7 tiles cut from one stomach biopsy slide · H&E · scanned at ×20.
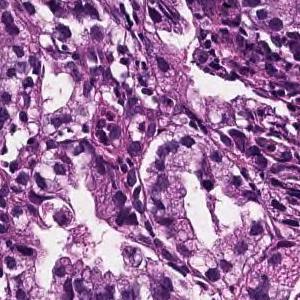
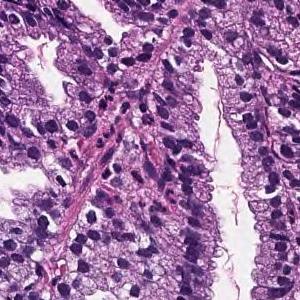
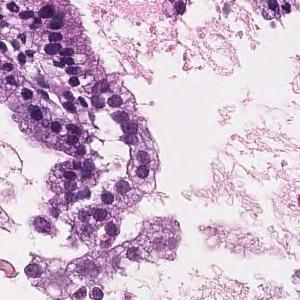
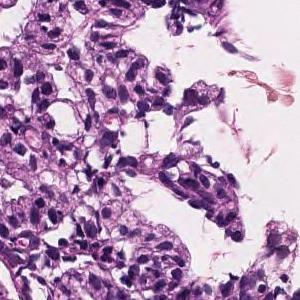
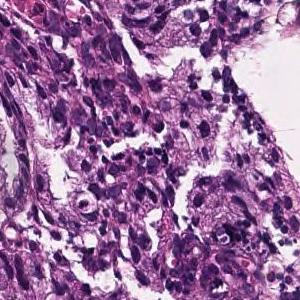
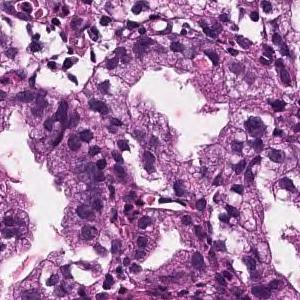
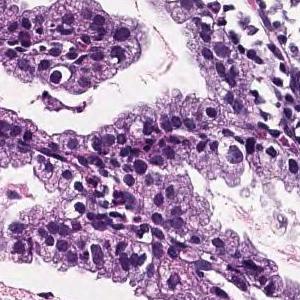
Report on the slide these tiles come from. What the report and the diagnosis say applies to the whole slide; these tiles may miss some of the features named and may include tissue that is not tumor.
In the superficial epithelium, tumor tissue that infiltrates by forming medium-sized papillary or small irregular ducts is observed. Papillary adenocarcinoma
